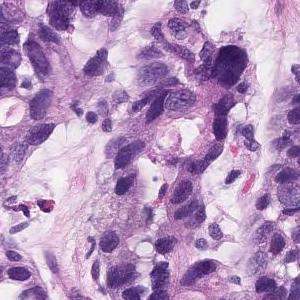
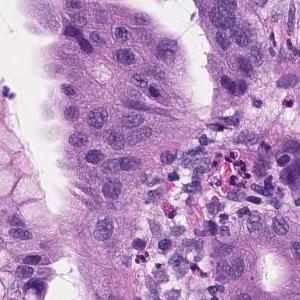
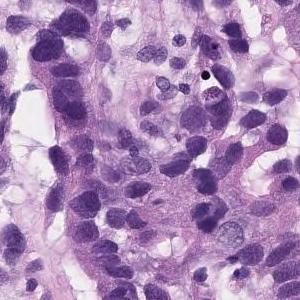
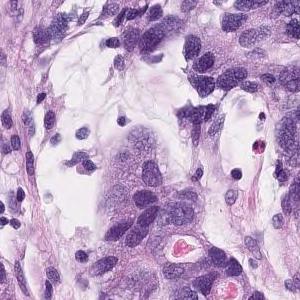
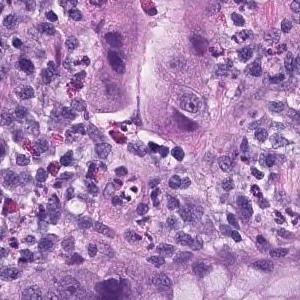
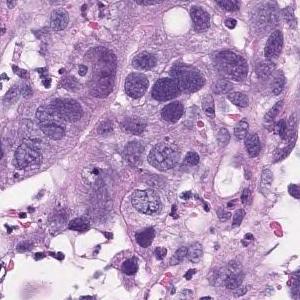
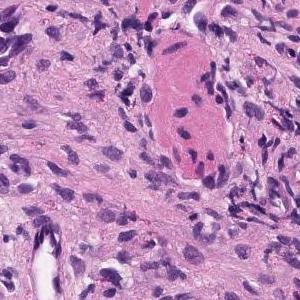
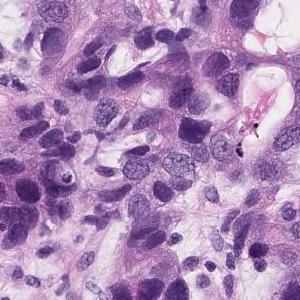
H&E, 8 tiles cut from one stomach biopsy slide, 300×300 px each.
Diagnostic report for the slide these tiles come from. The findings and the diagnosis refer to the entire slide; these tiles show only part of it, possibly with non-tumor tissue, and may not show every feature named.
Group 5, Adenocarcinoma. Moderately to poorly differentiated adenocarcinoma
